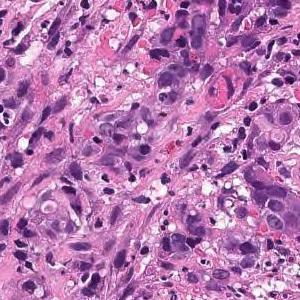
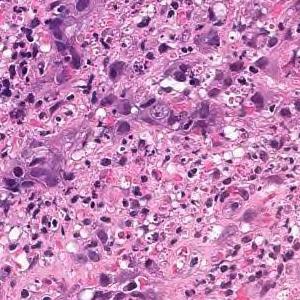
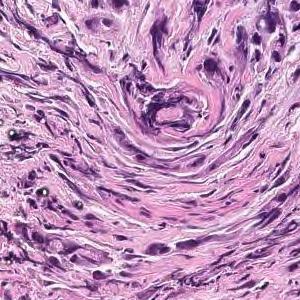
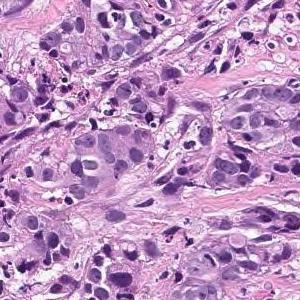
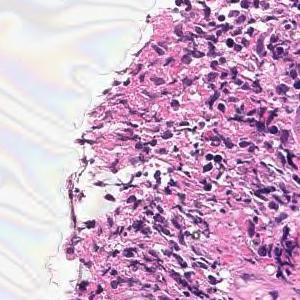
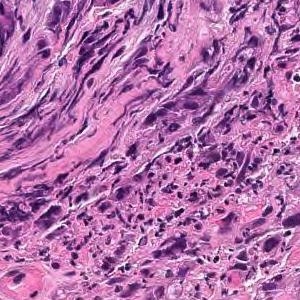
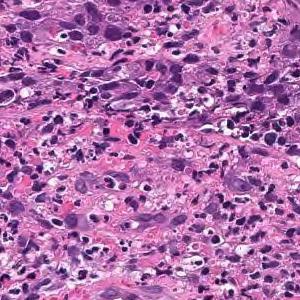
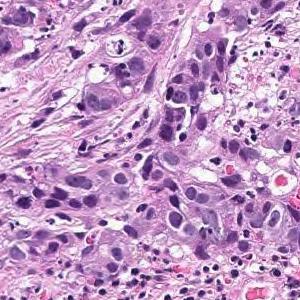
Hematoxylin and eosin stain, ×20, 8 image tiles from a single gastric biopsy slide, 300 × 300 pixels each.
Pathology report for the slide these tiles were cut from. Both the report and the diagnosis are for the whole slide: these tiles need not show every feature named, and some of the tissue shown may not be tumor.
Tumor tissue consisting of cord-like or small, irregular glandular ducts fused and infiltrated is observed in the superficial epithelium. Poorly differentiated adenocarcinoma, non-solid type
"Non-solid type" is a category of the Japanese Classification of Gastric Carcinoma.
